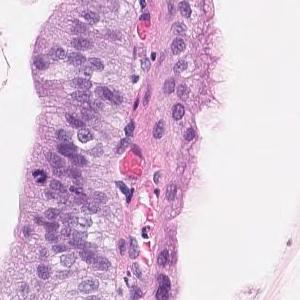
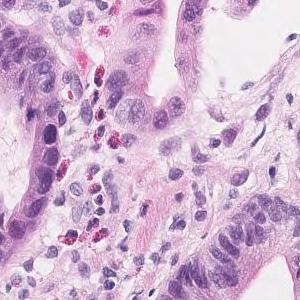
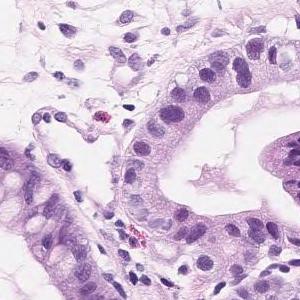
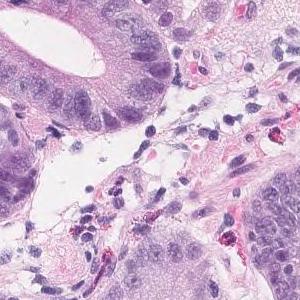
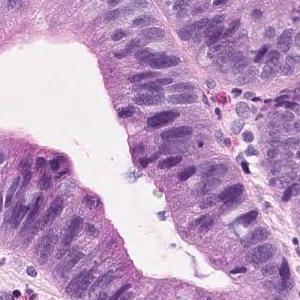
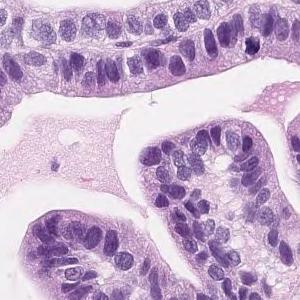
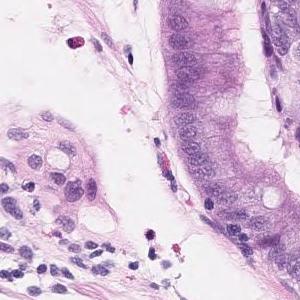
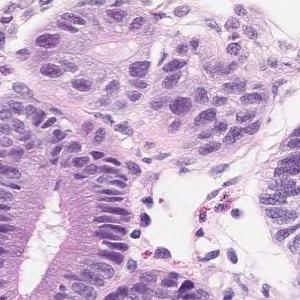
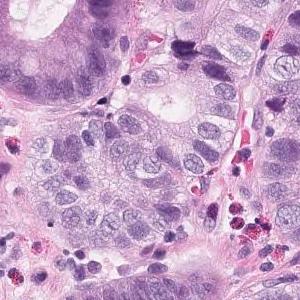
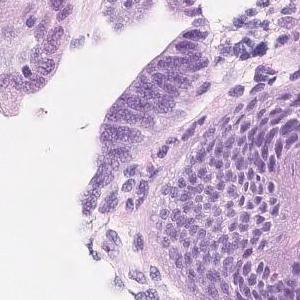
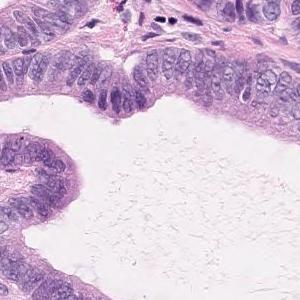
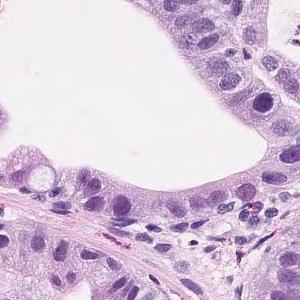
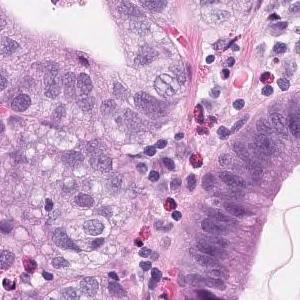
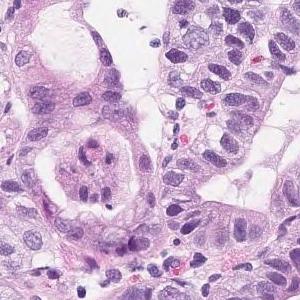
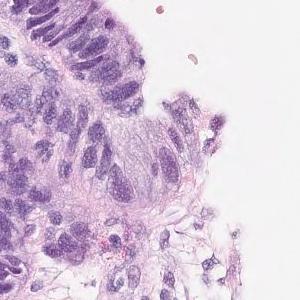
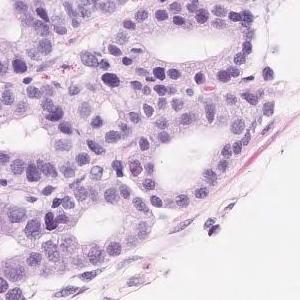
16 image tiles from a single gastric biopsy slide, 300 × 300 pixels each, scanned at ×20, hematoxylin and eosin stain.
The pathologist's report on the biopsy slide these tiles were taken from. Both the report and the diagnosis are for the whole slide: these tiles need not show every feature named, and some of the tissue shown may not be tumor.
Short atypical epithelium with swelling of the nucleus shows proliferating, large and small irregular ductal structures. Well to moderately differentiated tubular adenocarcinoma (well differentiated tubular adenocarcinoma-moderately differentiated tubular adenocarcinoma)
Histological subtype: Well to moderately differentiated tubular adenocarcinoma.
